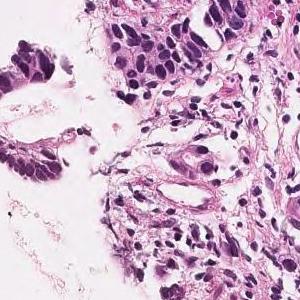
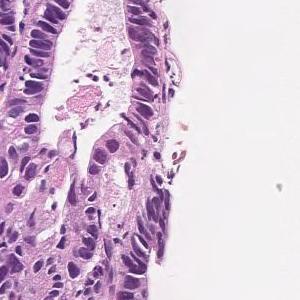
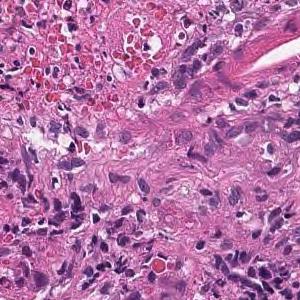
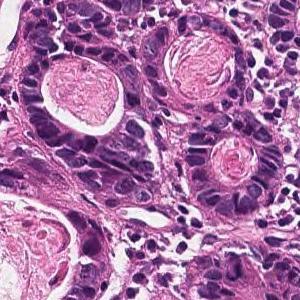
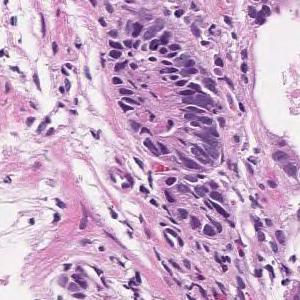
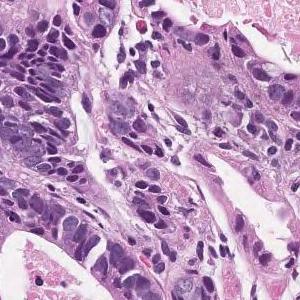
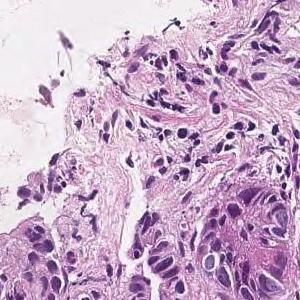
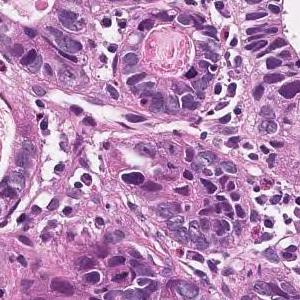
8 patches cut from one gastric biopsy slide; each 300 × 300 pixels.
Pathology report for the biopsy slide these tiles were cut from. The report and the diagnosis cover the entire slide, so not every feature they name need be visible here, and some tissue shown may not be tumor.
In the superficial epithelium, tumor tissue that invades by forming medium-sized to small, irregular ducts is observed. Well differentiated tubular adenocarcinoma.
